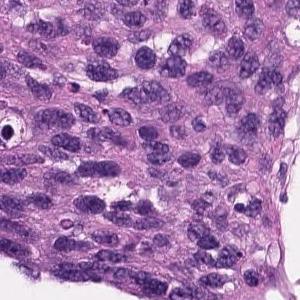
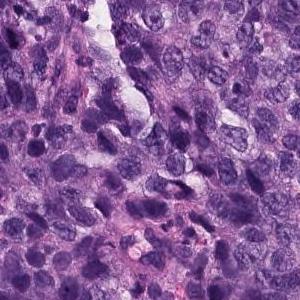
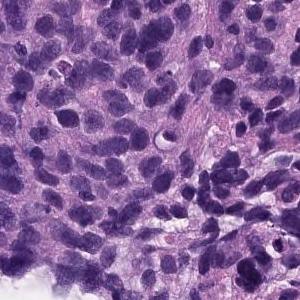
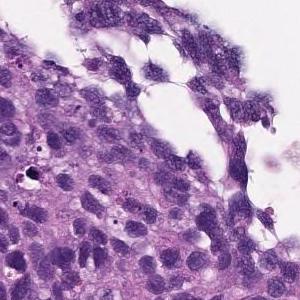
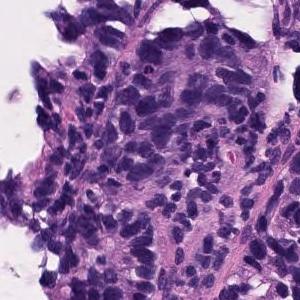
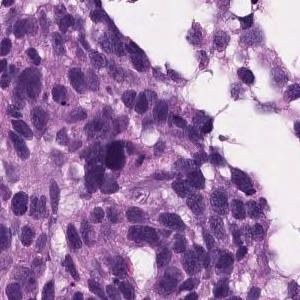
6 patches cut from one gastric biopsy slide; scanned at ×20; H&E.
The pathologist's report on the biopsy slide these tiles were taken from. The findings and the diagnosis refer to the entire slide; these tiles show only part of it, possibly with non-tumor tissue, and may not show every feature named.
Atypical l cells with atypical nuclei under the mucosa growing in isolation and scattered. Poorly differentiated adenocarcinoma (poorly differentiated adenocarcinoma, non-solid type)
Classified as poorly differentiated adenocarcinoma, non-solid type.
The term "non-solid type" comes from the Japanese Classification of Gastric Carcinoma.
